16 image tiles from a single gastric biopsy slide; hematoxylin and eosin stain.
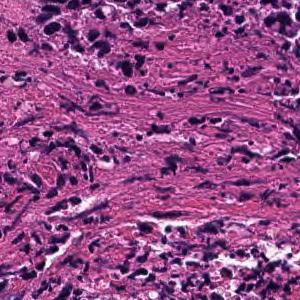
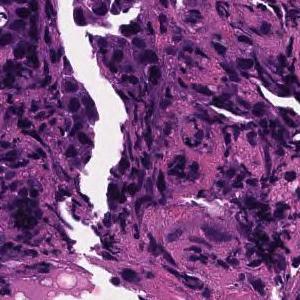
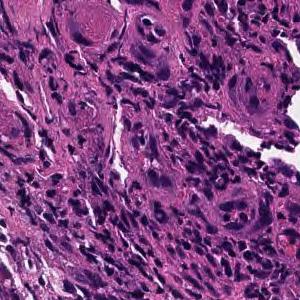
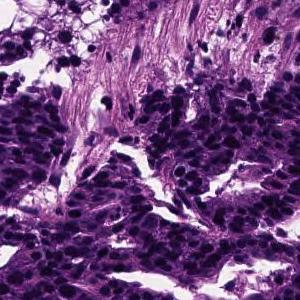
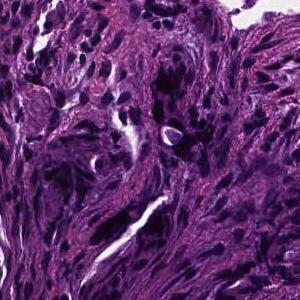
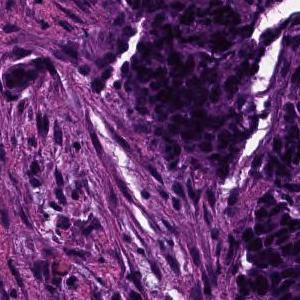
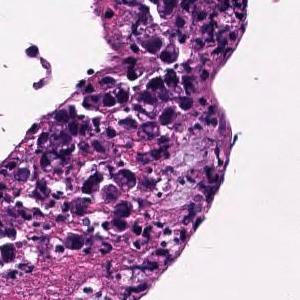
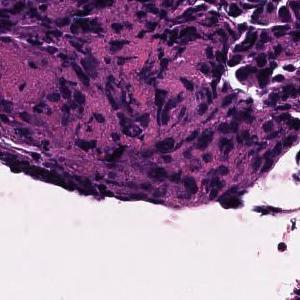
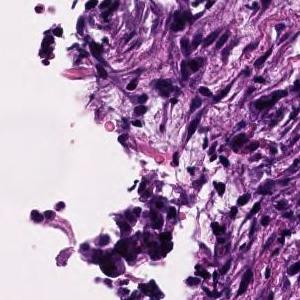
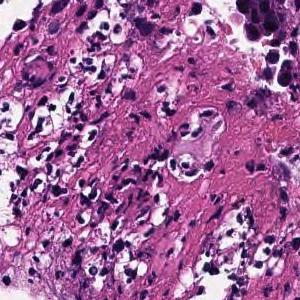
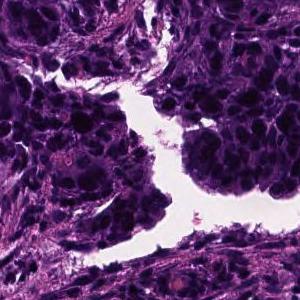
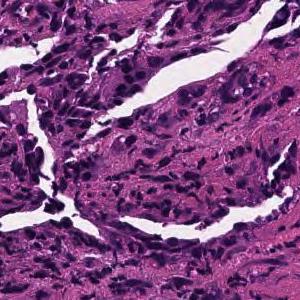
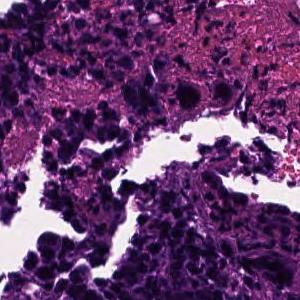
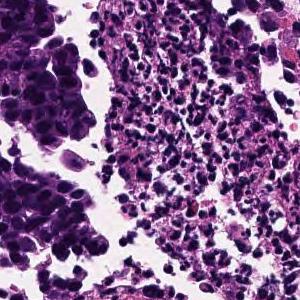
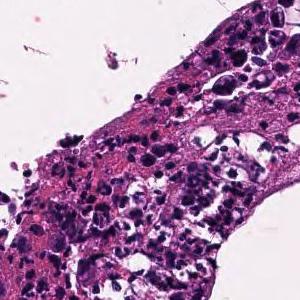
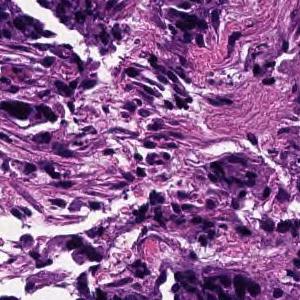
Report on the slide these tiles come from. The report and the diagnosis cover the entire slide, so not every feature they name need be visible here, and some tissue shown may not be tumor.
In the superficial epithelium, tumor tissue that invades by forming medium-sized to small, irregular ducts is observed. moderately differentiated tubular adenocarcinoma.
